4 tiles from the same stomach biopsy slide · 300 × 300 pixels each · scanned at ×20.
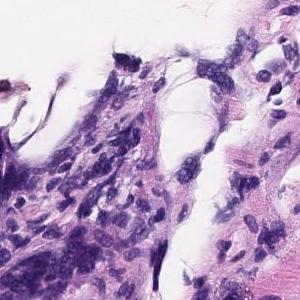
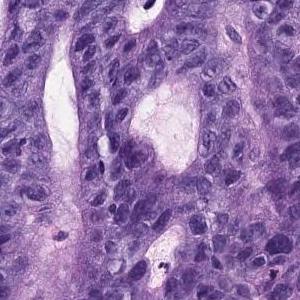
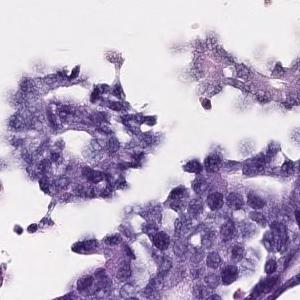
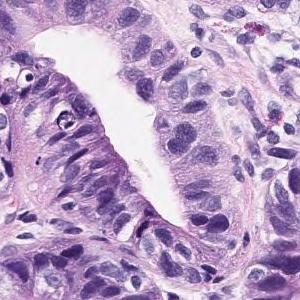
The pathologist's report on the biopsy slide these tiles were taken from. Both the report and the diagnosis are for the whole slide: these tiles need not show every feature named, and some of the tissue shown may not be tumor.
In the superficial epithelium, tumor tissue that invades by forming medium-sized to small, irregular ducts is observed. Well to moderately differentiated tubular adenocarcinoma.
